H&E stain · 13 tiles from the same stomach biopsy slide · each 300 × 300 pixels.
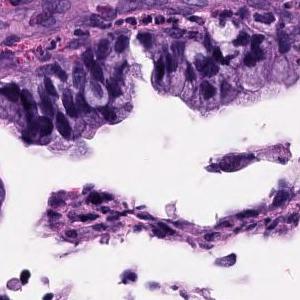
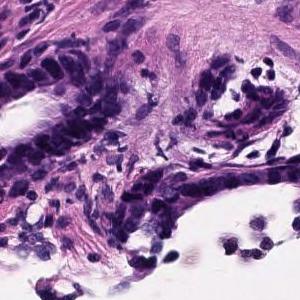
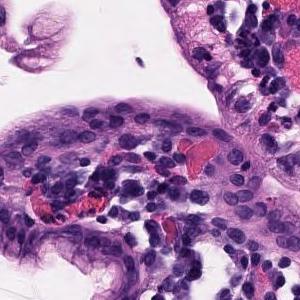
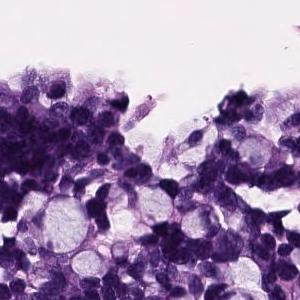
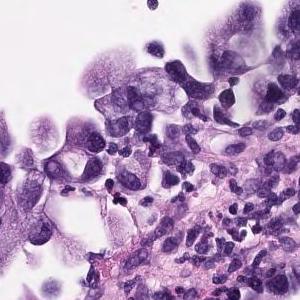
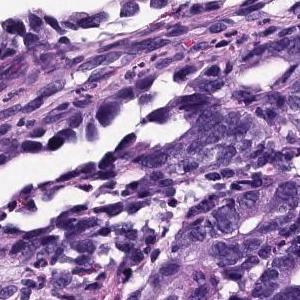
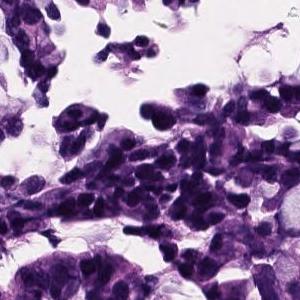
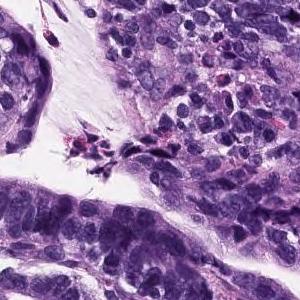
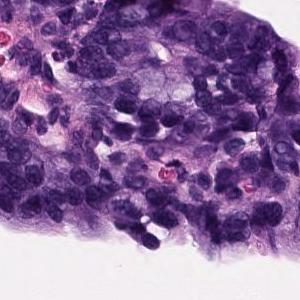
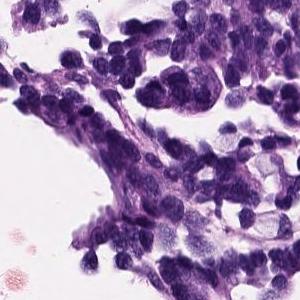
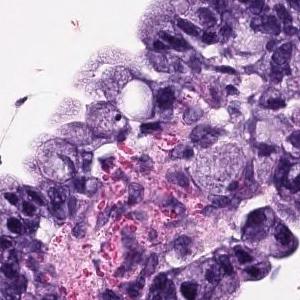
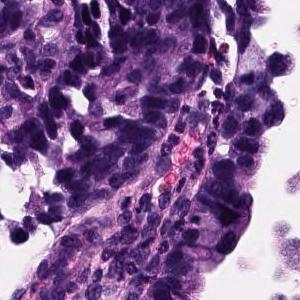
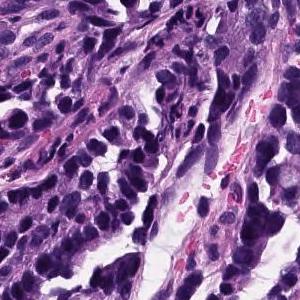
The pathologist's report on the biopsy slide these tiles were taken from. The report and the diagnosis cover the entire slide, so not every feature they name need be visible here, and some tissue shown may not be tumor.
Atypical epithelium proliferating showing villus construction and irregular gland duct construction is observed. Moderately differentiated tubular adenocarcinoma.
